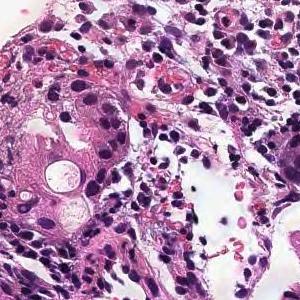
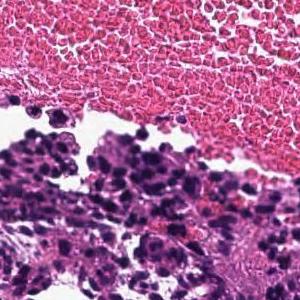
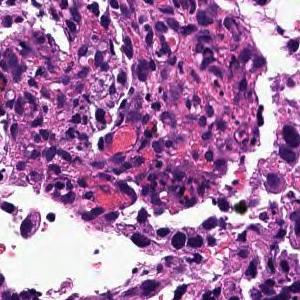
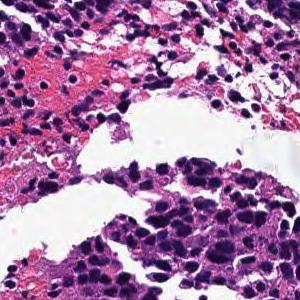
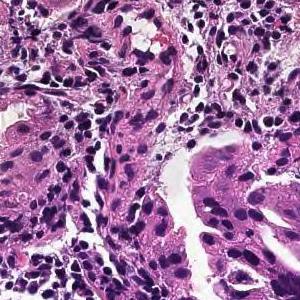
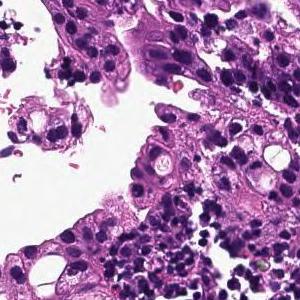
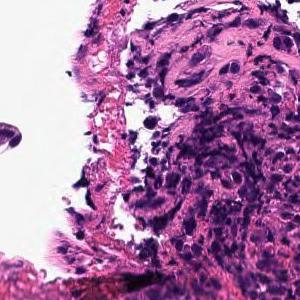
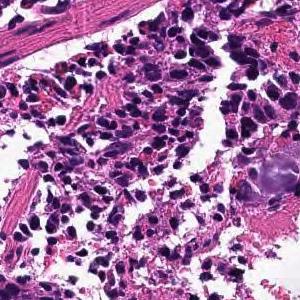
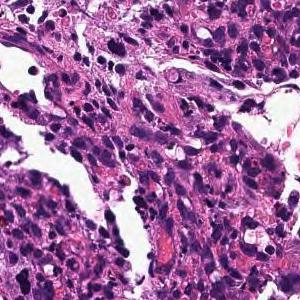
20× magnification · H&E · 9 patches cut from one gastric biopsy slide · 300 × 300 pixels each.
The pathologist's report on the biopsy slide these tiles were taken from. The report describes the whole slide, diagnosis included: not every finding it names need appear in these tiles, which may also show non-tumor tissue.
In the superficial epithelium, tumor tissue that invades by forming medium-sized to small, irregular ducts is observed. moderately differentiated tubular adenocarcinoma.
